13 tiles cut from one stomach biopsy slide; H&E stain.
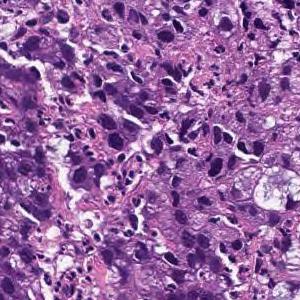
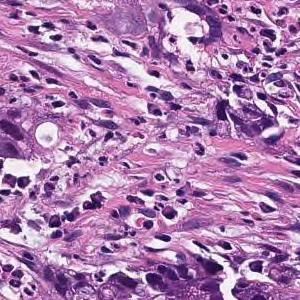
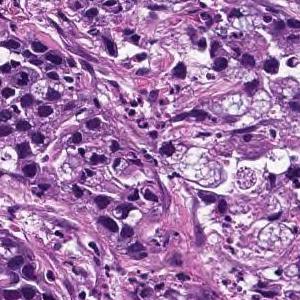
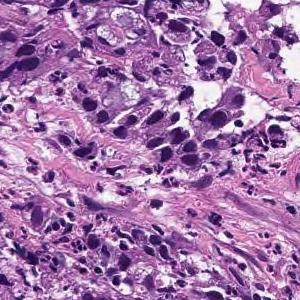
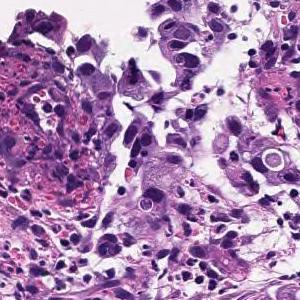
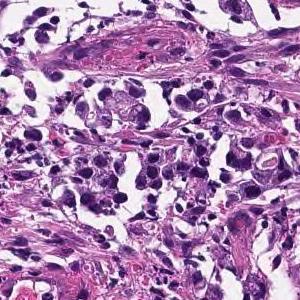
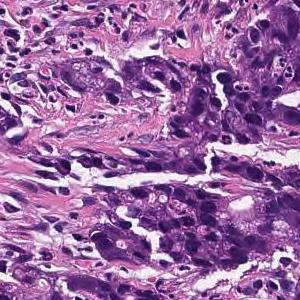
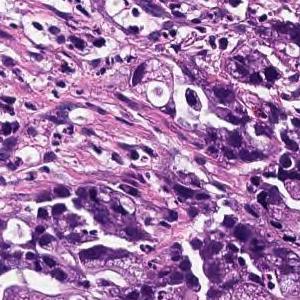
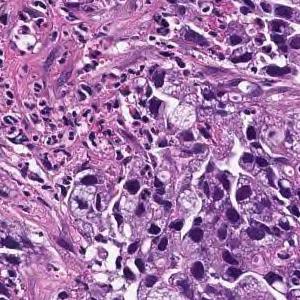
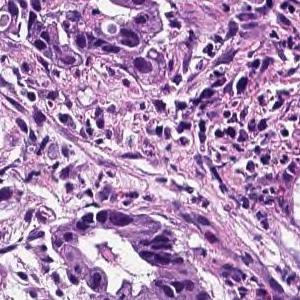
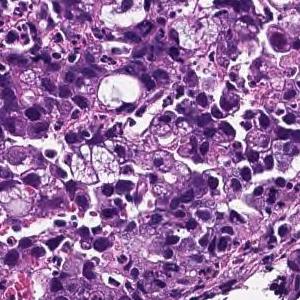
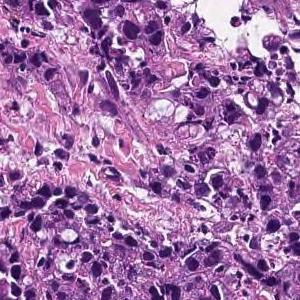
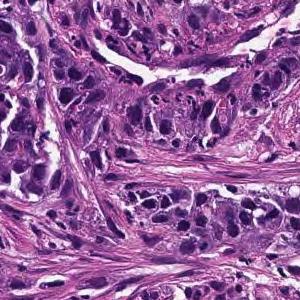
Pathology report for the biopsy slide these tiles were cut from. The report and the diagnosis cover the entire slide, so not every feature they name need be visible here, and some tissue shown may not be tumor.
Medium to small, irregular glandular ducts are formed in the superficial epithelium, and in some cases, the glandular ducts are fused to show solid alveolar lesions and infiltrating tumor tissue is observed. Moderately to poorly differentiated adenocarcinoma.
